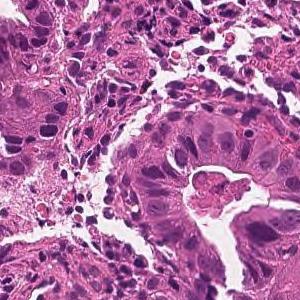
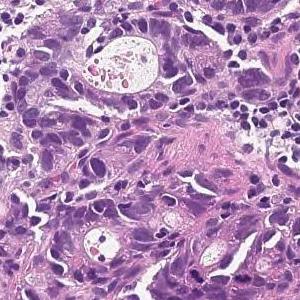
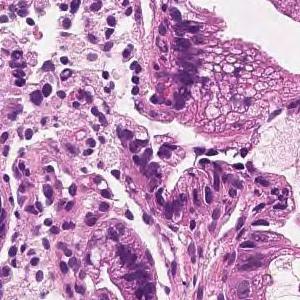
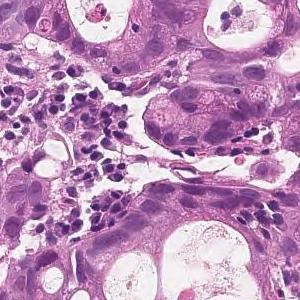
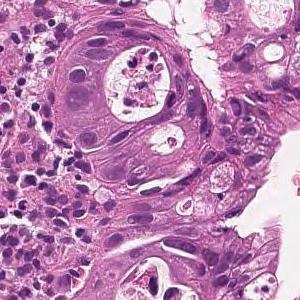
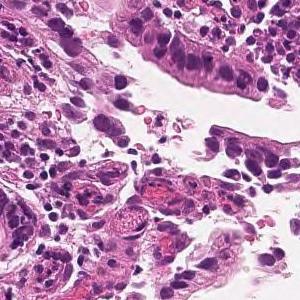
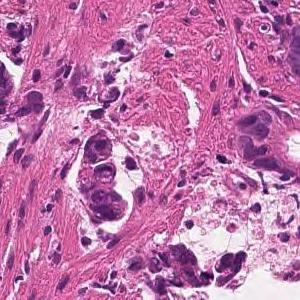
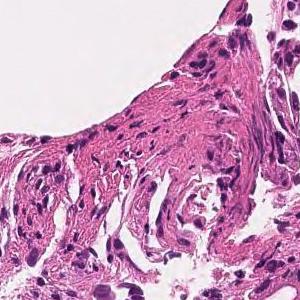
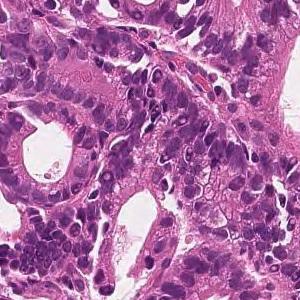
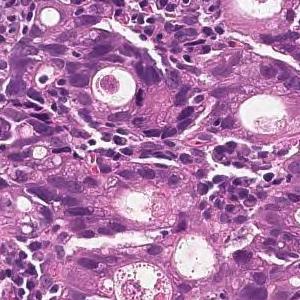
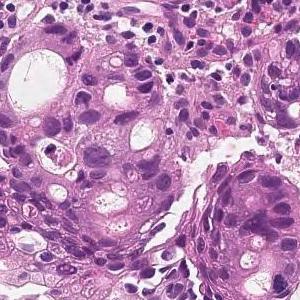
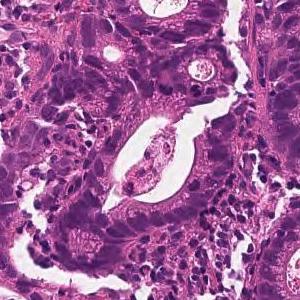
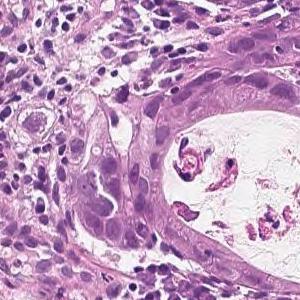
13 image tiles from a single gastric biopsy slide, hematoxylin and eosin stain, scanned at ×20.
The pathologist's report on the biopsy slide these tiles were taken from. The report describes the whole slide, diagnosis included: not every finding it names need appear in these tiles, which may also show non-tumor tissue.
On the superficial epithelium, tumor tissue is found in which medium-sized irregular gland ducts fuse with each other and infiltrate. moderately differentiated tubular adenocarcinoma
